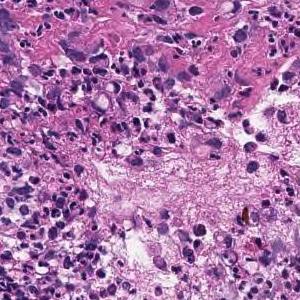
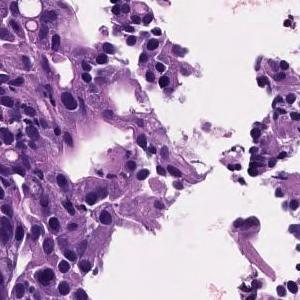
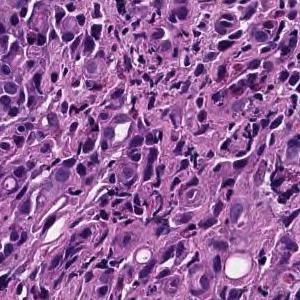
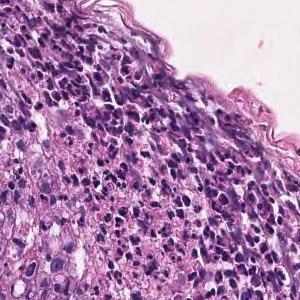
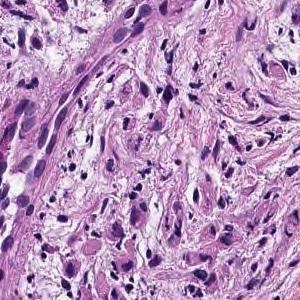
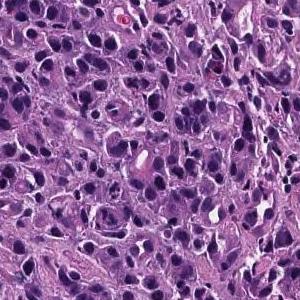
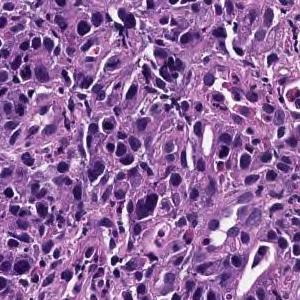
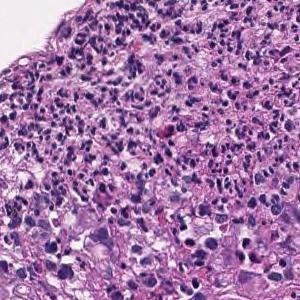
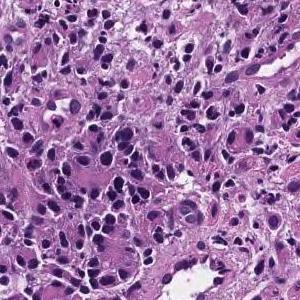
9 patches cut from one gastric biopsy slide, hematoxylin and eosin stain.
Report on the slide these tiles come from. What the report and the diagnosis say applies to the whole slide; these tiles may miss some of the features named and may include tissue that is not tumor.
The superficial epithelium shows a large sheet-like shape, and some tumor tissue infiltrates with small irregular ducts. Poorly differentiated adenocarcinoma, solid-type
Histologic type: Poorly differentiated adenocarcinoma, solid type, a category of the Japanese Classification of Gastric Carcinoma; in the WHO 2019 classification it is tubular adenocarcinoma, poorly differentiated.
